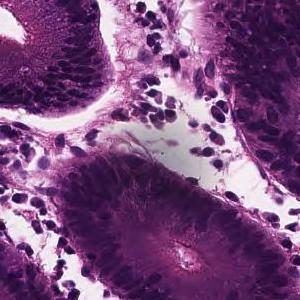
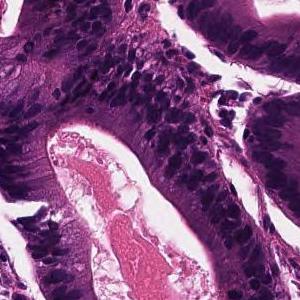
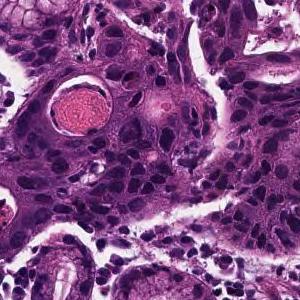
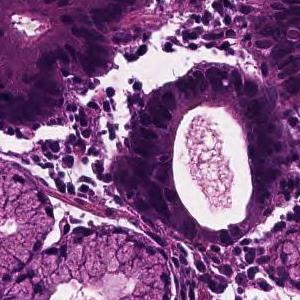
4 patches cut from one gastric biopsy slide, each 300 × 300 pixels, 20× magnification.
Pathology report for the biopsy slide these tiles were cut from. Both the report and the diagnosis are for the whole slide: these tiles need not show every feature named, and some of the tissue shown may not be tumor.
In the superficial epithelium, tumor tissue that invades by forming medium-sized to small, irregular ducts is observed. moderately differentiated tubular adenocarcinoma.
